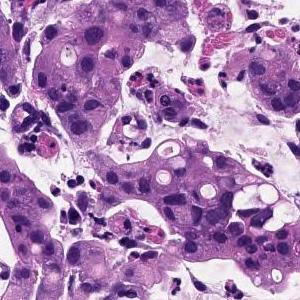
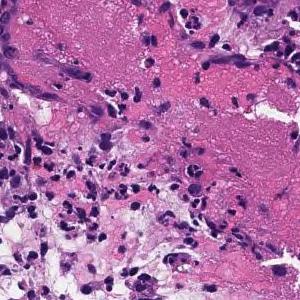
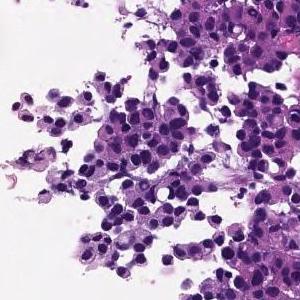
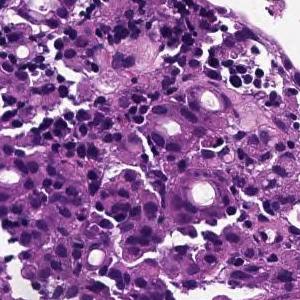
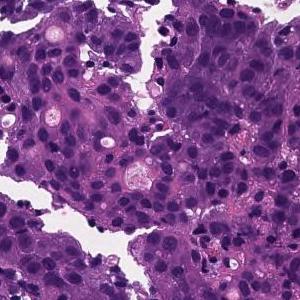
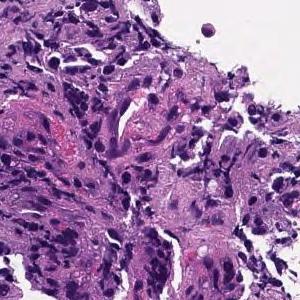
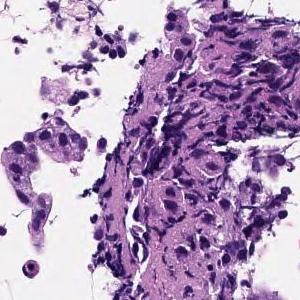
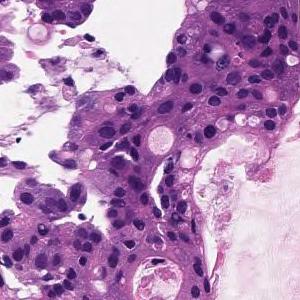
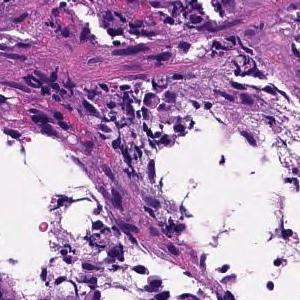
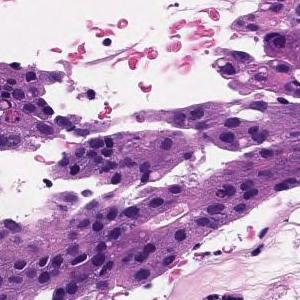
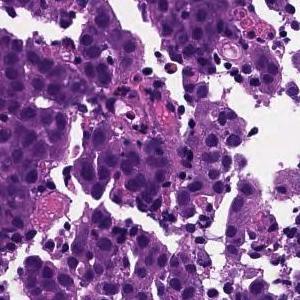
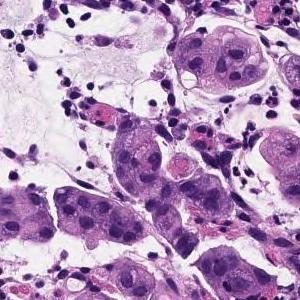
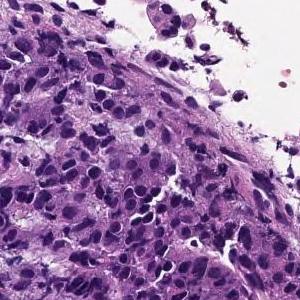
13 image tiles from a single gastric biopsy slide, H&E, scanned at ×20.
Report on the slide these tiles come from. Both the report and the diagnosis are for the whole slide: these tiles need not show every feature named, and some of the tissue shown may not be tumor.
The superficial epithelium shows a large sheet-like shape, and some tumor tissue infiltrates with small irregular ducts. Poorly differentiated adenocarcinoma, solid-type
Histologic type: Poorly differentiated adenocarcinoma, solid type, a category of the Japanese Classification of Gastric Carcinoma; in the WHO 2019 classification it is tubular adenocarcinoma, poorly differentiated.
